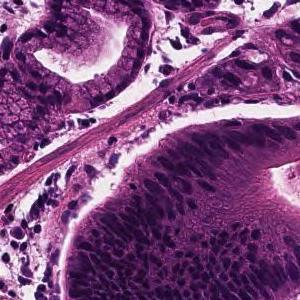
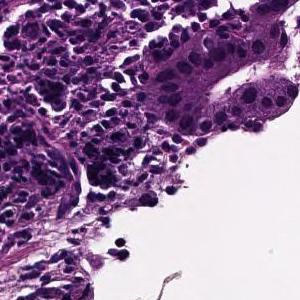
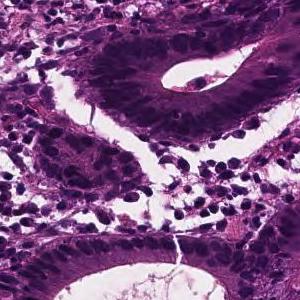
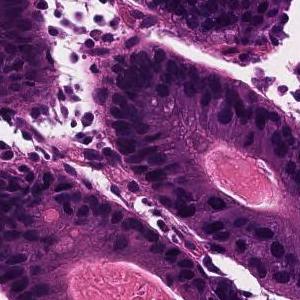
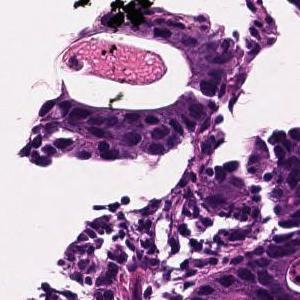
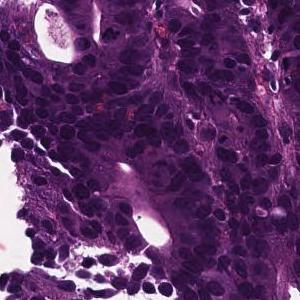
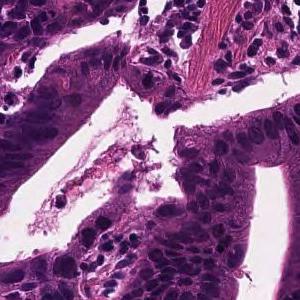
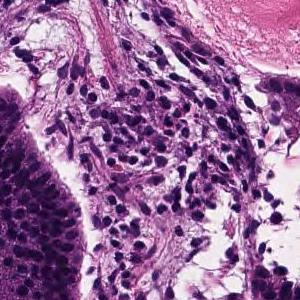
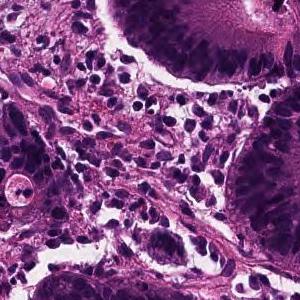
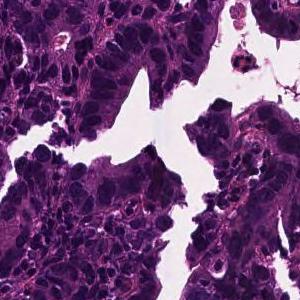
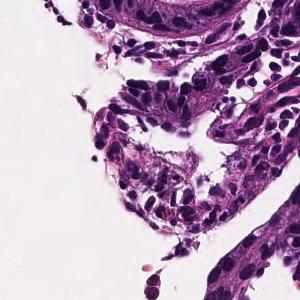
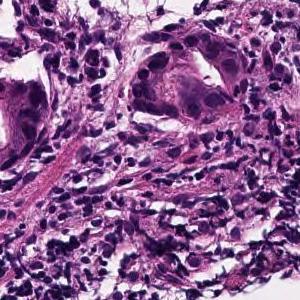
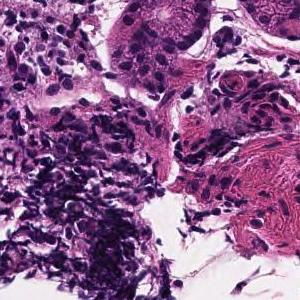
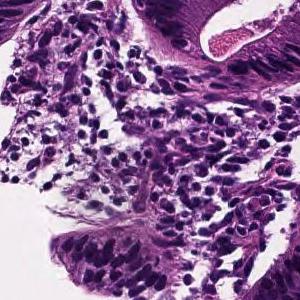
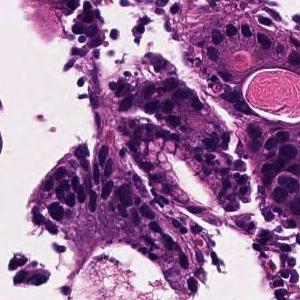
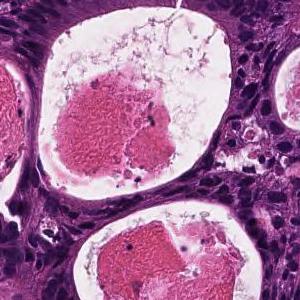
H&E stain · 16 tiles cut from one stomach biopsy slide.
Report on the slide these tiles come from. The report describes the whole slide, diagnosis included: not every finding it names need appear in these tiles, which may also show non-tumor tissue.
In the superficial epithelium, tumor tissue that invades by forming medium-sized to small, irregular ducts is observed. moderately differentiated tubular adenocarcinoma.
